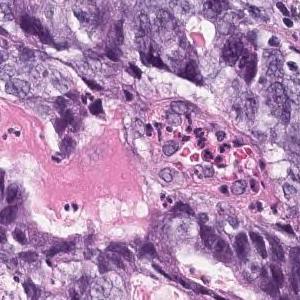
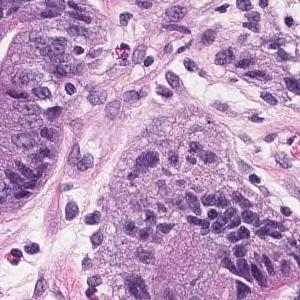
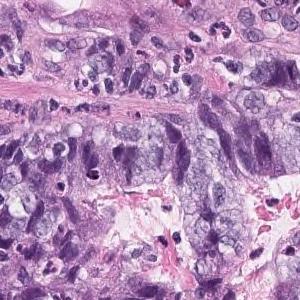
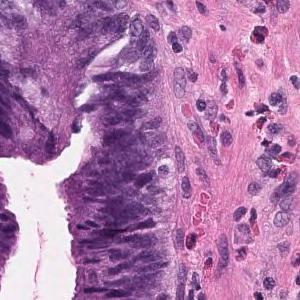
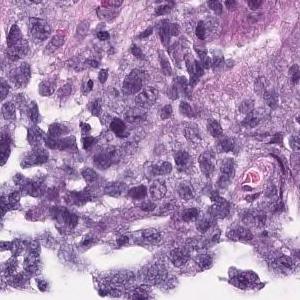
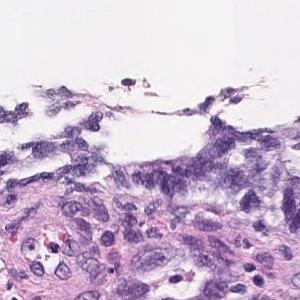
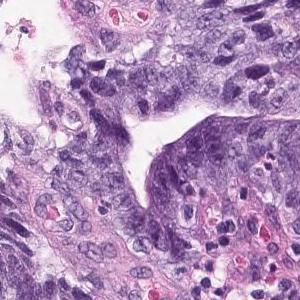
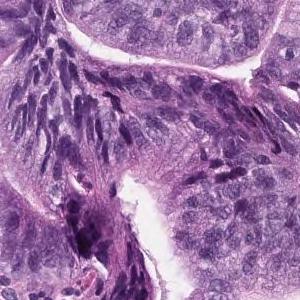
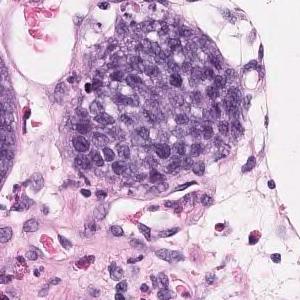
9 tiles cut from one stomach biopsy slide; hematoxylin and eosin stain; 20× magnification.
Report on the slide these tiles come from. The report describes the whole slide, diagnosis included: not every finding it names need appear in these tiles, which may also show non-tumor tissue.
Large atypical epithelial cells with swollen atypical nuclei are seen proliferating into a tubular fusion gland. moderately differentiated tubular adenocarcinoma
